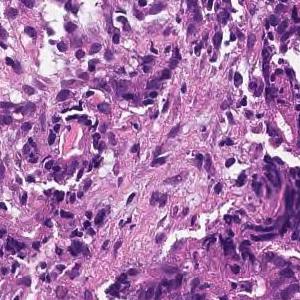
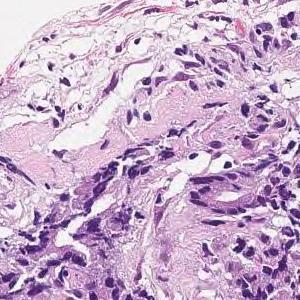
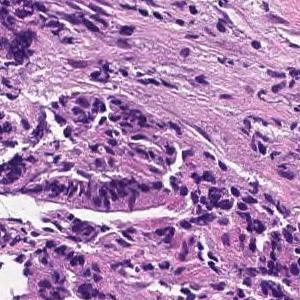
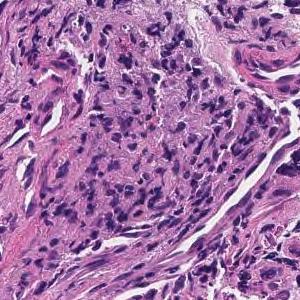
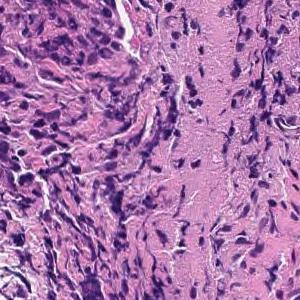
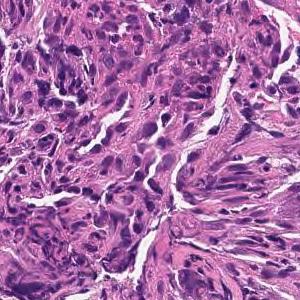
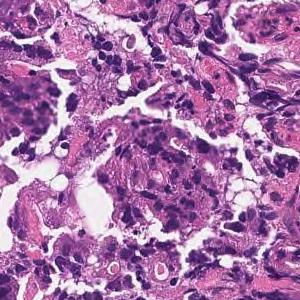
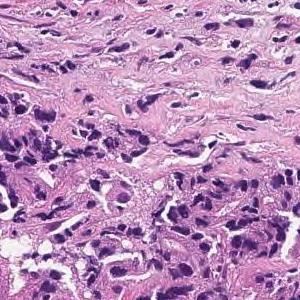
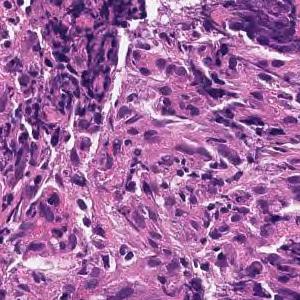
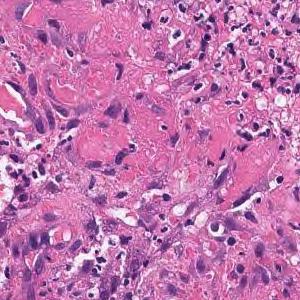
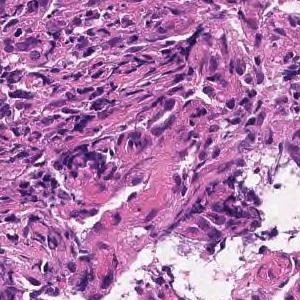
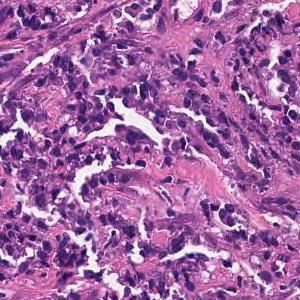
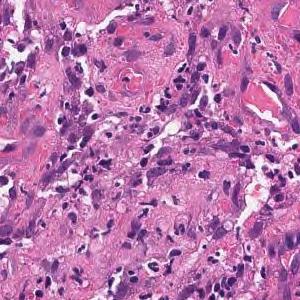
Scanned at ×20; 13 tiles from the same stomach biopsy slide; 300×300 px each.
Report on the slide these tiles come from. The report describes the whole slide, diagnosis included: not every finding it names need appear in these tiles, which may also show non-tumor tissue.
Tumor tissue consisting of medium-sized, cord-like or irregular glandular infiltration is observed in the superficial epithelium. Poorly differentiated adenocarcinoma, non-solid type or moderately differentiated tubular adenocarcinoma
Histological subtype: Moderately to poorly differentiated adenocarcinoma.
The term "non-solid type" comes from the Japanese Classification of Gastric Carcinoma.
